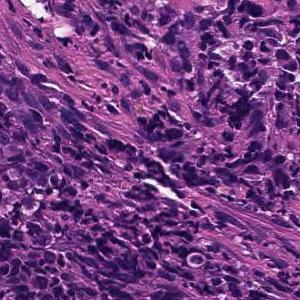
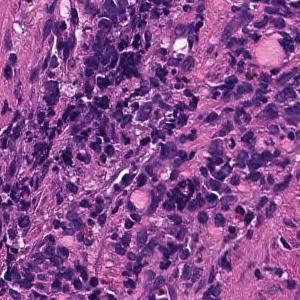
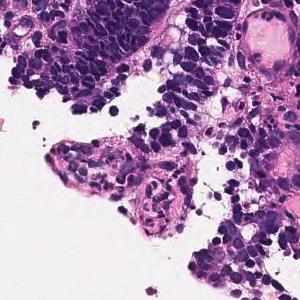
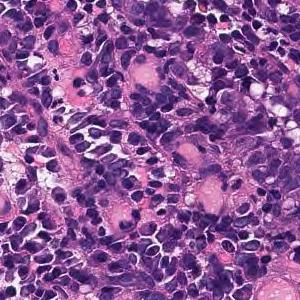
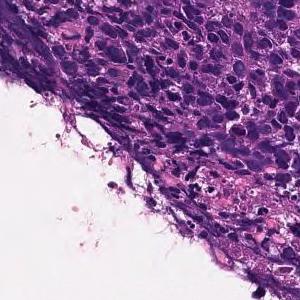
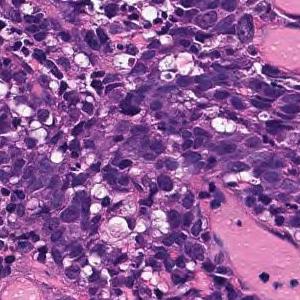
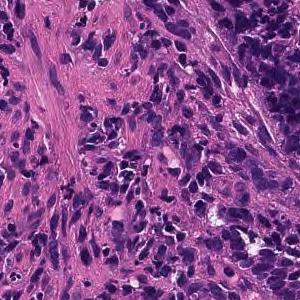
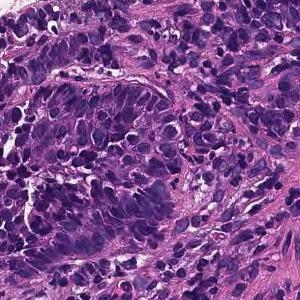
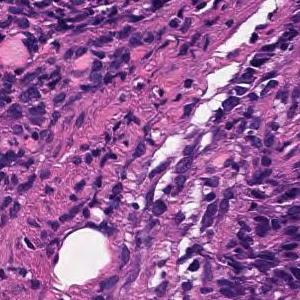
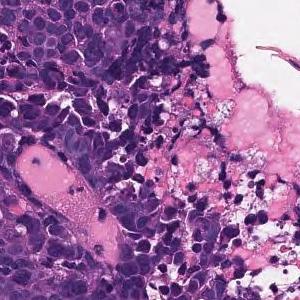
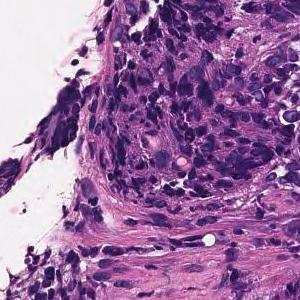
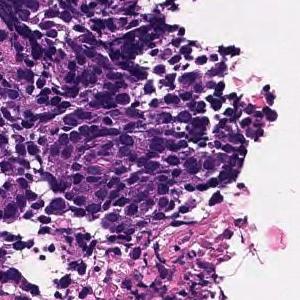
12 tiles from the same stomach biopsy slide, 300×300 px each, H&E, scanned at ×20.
Pathology report for the slide these tiles were cut from. The findings and the diagnosis refer to the entire slide; these tiles show only part of it, possibly with non-tumor tissue, and may not show every feature named.
Large sheet-like or diffusely infiltrating tumor tissue is found in the superficial epithelium. Poorly differentiated adenocarcinoma, solid-type
Histological subtype: Poorly differentiated adenocarcinoma, solid type, a category of the Japanese Classification of Gastric Carcinoma; in the WHO 2019 classification it is tubular adenocarcinoma, poorly differentiated.
